16 image tiles from a single gastric biopsy slide, 300×300 px each, scanned at ×20, H&E stain.
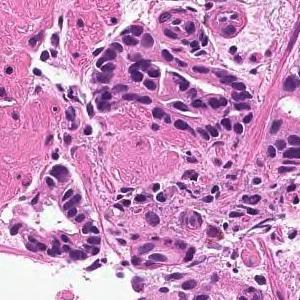
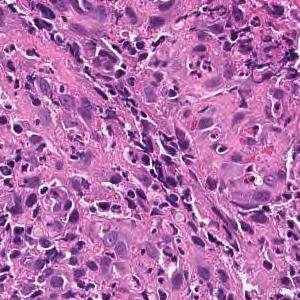
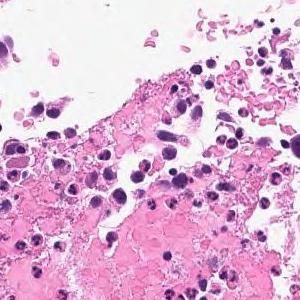
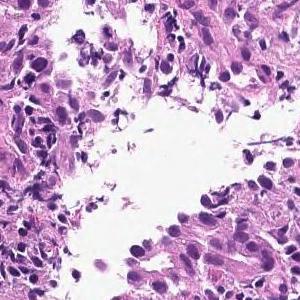
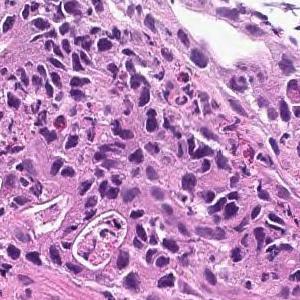
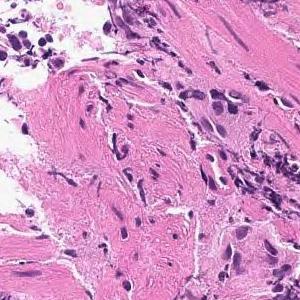
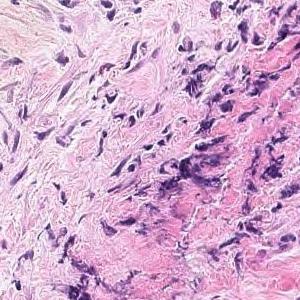
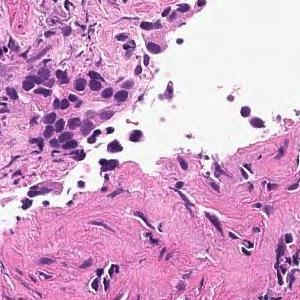
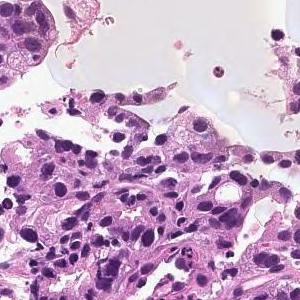
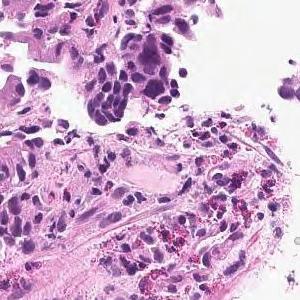
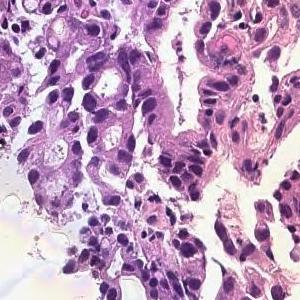
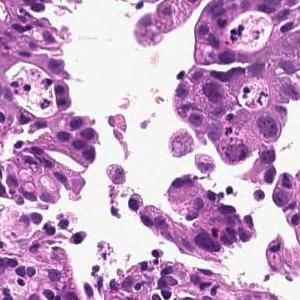
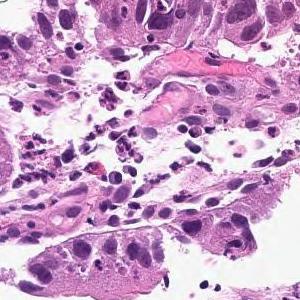
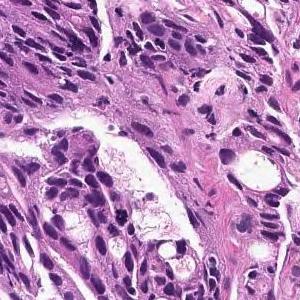
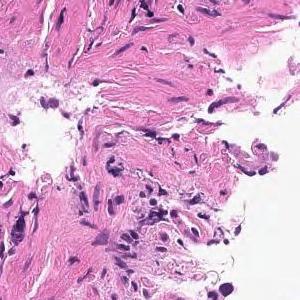
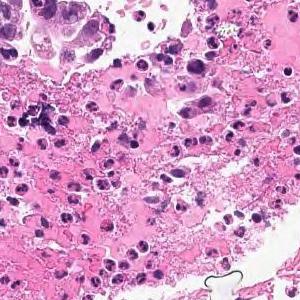
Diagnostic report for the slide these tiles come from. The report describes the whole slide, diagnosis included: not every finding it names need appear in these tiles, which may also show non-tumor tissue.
On the superficial epithelium, tumor tissue consisting of large irregular glandular ducts partially fused and infiltrated is observed. Well to moderately differentiated tubular adenocarcinoma (well differentiated tubular adenocarcinoma, moderately differentiated tubular adenocarcinoma)
Classified as well to moderately differentiated tubular adenocarcinoma.
